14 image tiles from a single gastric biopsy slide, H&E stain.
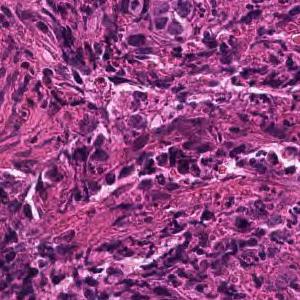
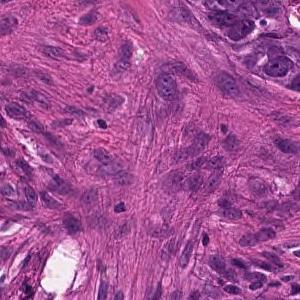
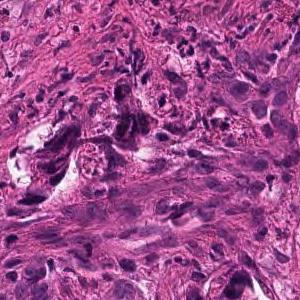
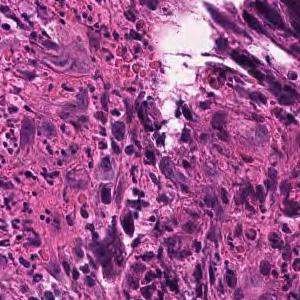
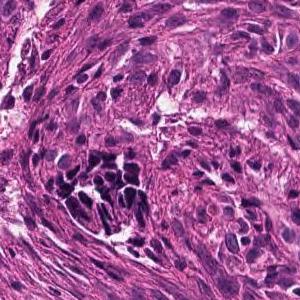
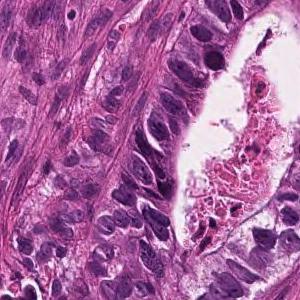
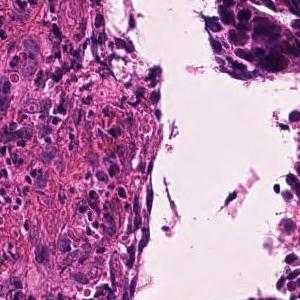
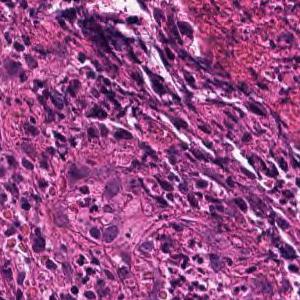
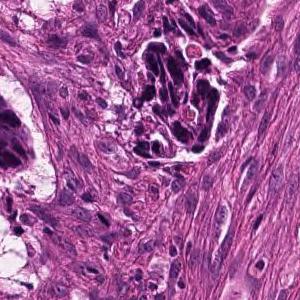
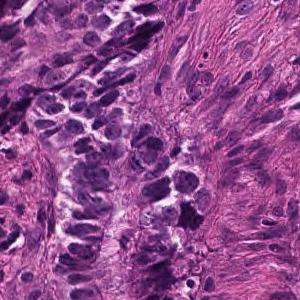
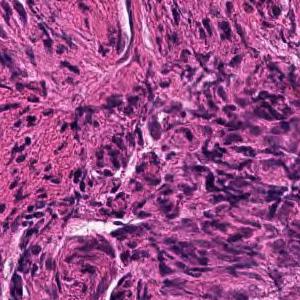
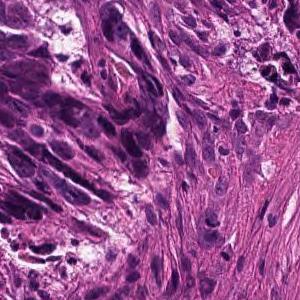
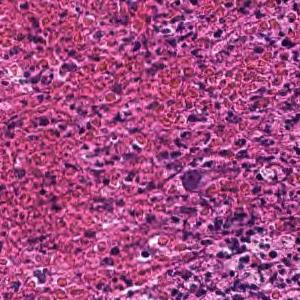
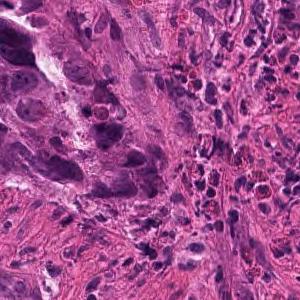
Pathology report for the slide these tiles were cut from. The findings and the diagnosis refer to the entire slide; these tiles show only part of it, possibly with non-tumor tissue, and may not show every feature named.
In the superficial epithelium, tumor tissue that invades by forming medium-sized to small, irregular ducts is observed. moderately differentiated tubular adenocarcinoma.
